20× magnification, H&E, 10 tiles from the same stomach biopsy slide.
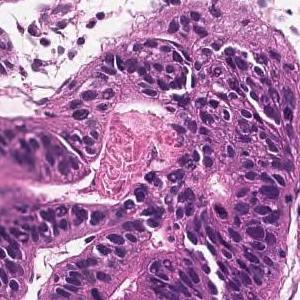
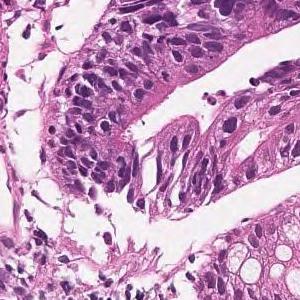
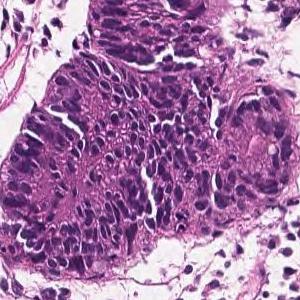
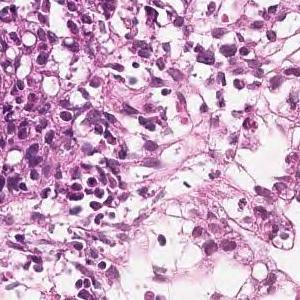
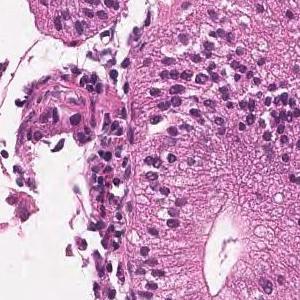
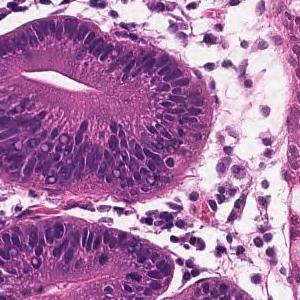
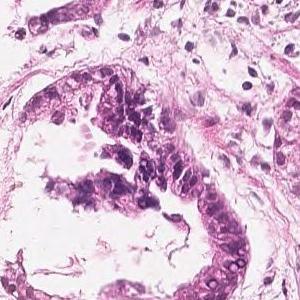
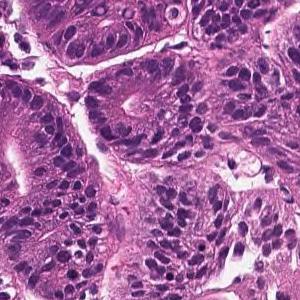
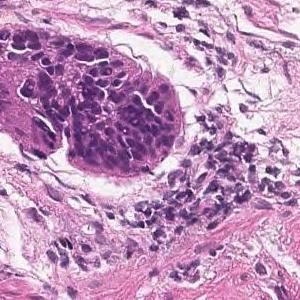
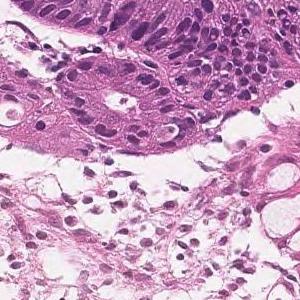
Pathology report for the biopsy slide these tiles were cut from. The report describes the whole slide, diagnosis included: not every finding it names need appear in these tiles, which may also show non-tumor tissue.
In the superficial epithelium, tumor tissue that invades by forming medium-sized to small, irregular ducts is observed. Well differentiated tubular adenocarcinoma.
